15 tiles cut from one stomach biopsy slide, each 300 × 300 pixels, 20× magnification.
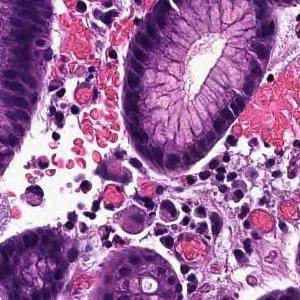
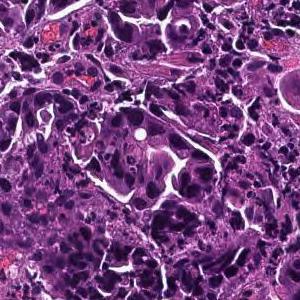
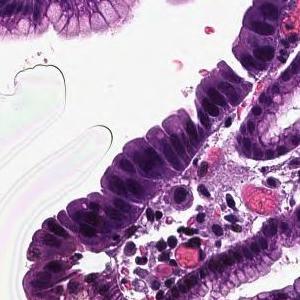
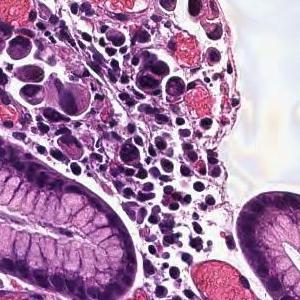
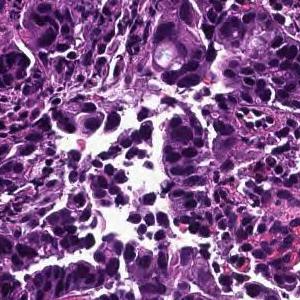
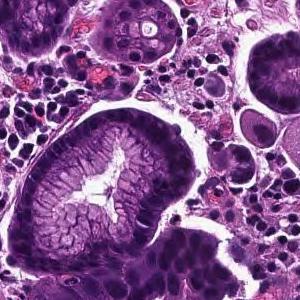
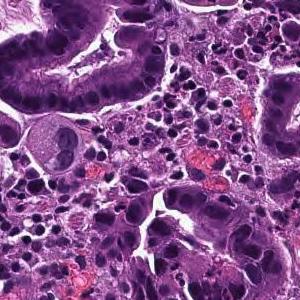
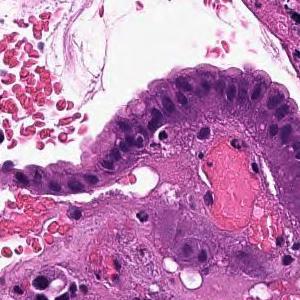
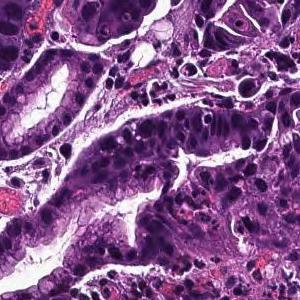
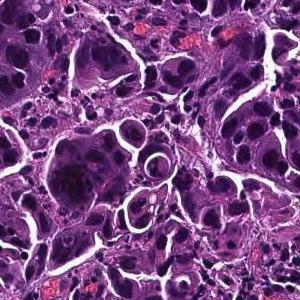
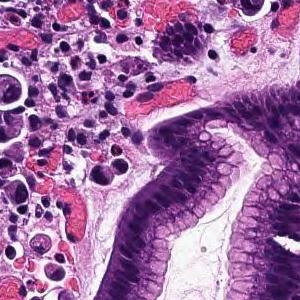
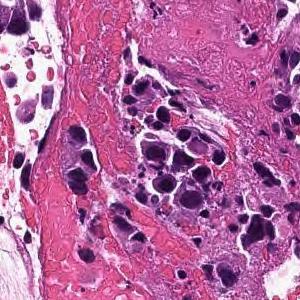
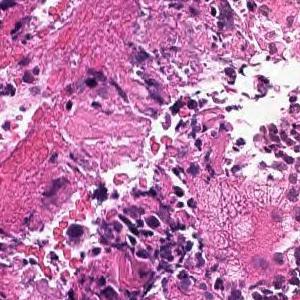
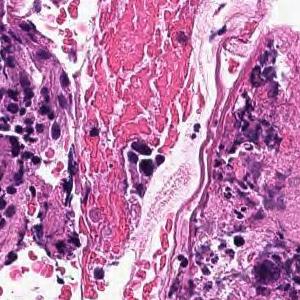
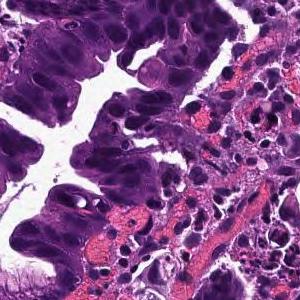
Report on the slide these tiles come from. The report and the diagnosis cover the entire slide, so not every feature they name need be visible here, and some tissue shown may not be tumor.
Tumor tissue consisting of medium-sized, cord-like or irregular glandular infiltration is observed in the superficial epithelium. Poorly differentiated adenocarcinoma, non-solid type or moderately differentiated tubular adenocarcinoma
Histologic type: Moderately to poorly differentiated adenocarcinoma.
The non-solid type named here is a Japanese Classification of Gastric Carcinoma category.
